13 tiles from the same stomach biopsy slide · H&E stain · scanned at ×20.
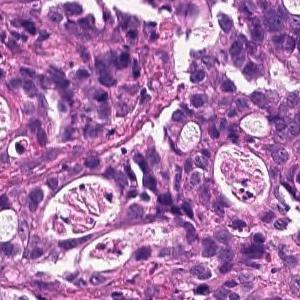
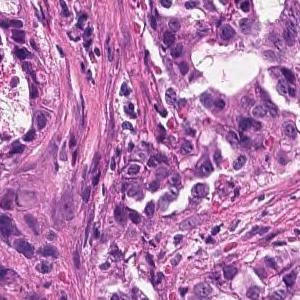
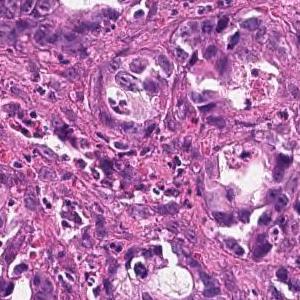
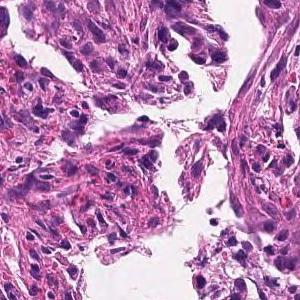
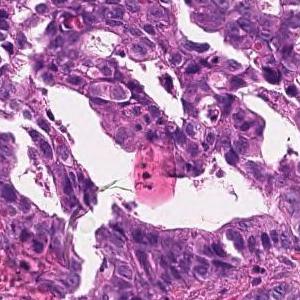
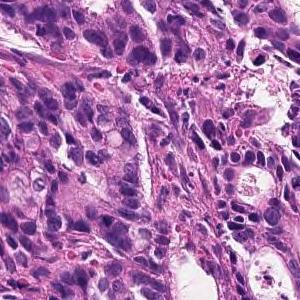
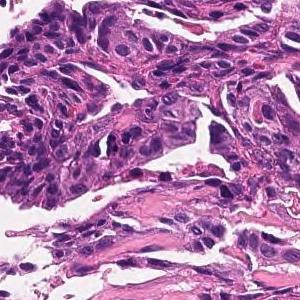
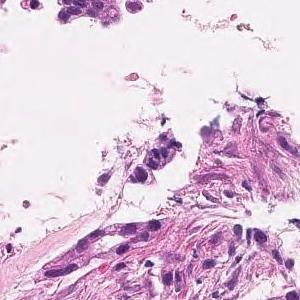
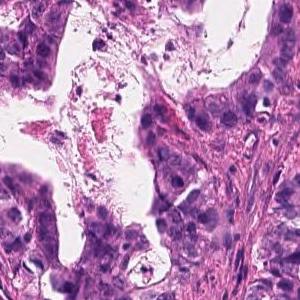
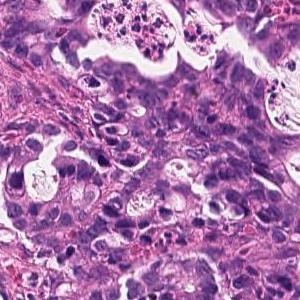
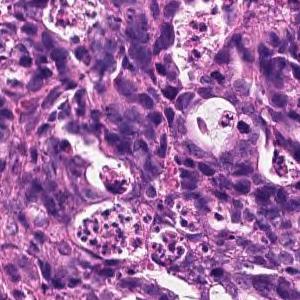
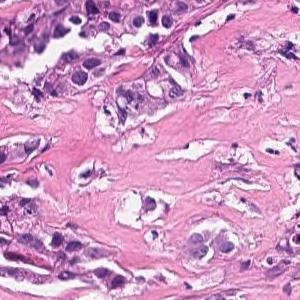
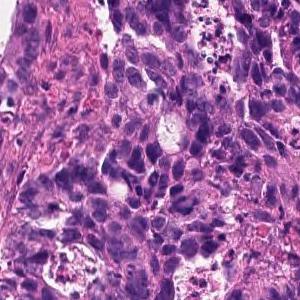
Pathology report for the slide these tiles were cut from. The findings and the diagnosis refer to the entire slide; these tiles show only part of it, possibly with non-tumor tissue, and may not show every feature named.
On the superficial epithelium, tumor tissue consisting of images of small to medium-sized and irregular tubules infiltrating with irregular fusion is observed. moderately differentiated tubular adenocarcinoma
